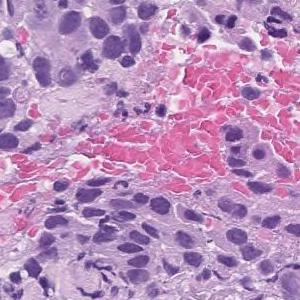
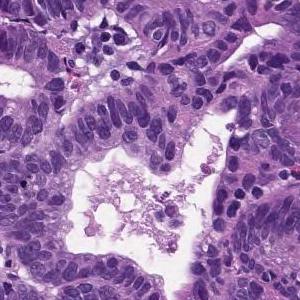
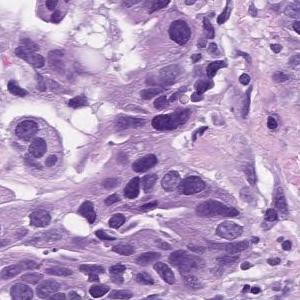
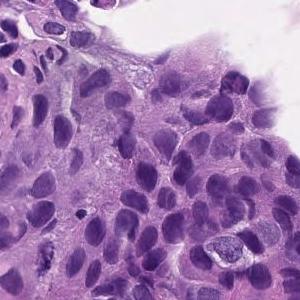
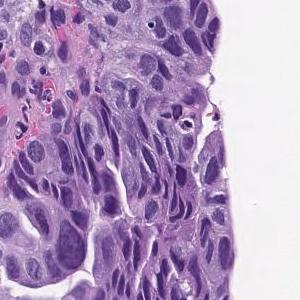
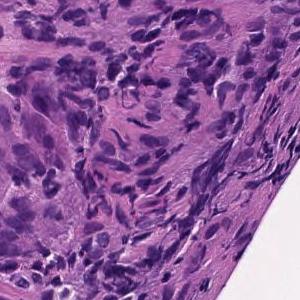
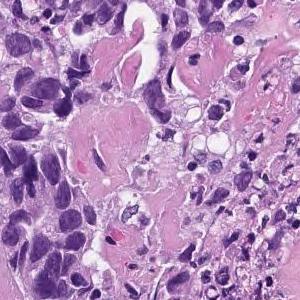
H&E · ×20 · 7 tiles cut from one stomach biopsy slide · 300×300 px each.
The pathologist's report on the biopsy slide these tiles were taken from. The report describes the whole slide, diagnosis included: not every finding it names need appear in these tiles, which may also show non-tumor tissue.
In the superficial epithelium, tumor tissue that invades by forming medium-sized to small, irregular ducts is observed. moderately differentiated tubular adenocarcinoma.
